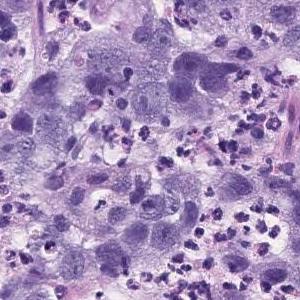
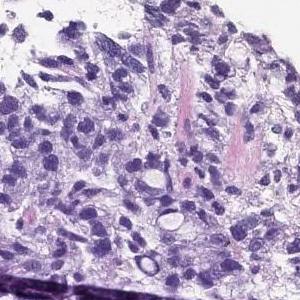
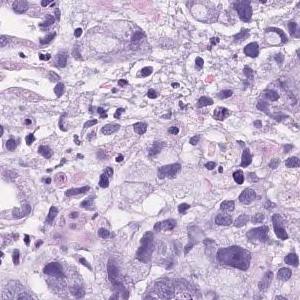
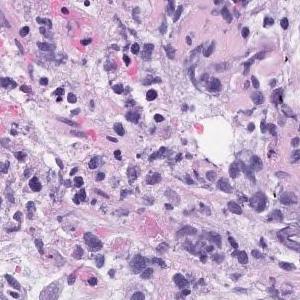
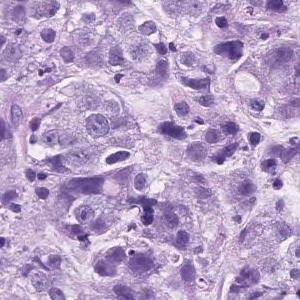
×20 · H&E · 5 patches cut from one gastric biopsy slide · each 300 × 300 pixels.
The pathologist's report on the biopsy slide these tiles were taken from. The report and the diagnosis cover the entire slide, so not every feature they name need be visible here, and some tissue shown may not be tumor.
Atypical l cells with atypical nuclei forming solid vesicles or small irregular atypical ducts that proliferate in a complex manner. poorly differentiated adenocarcinoma, solid type, moderately differentiated tubular adenocarcinoma
The term "solid type" comes from the Japanese Classification of Gastric Carcinoma; the WHO 2019 equivalent is tubular adenocarcinoma, poorly differentiated.
